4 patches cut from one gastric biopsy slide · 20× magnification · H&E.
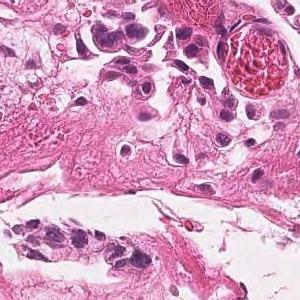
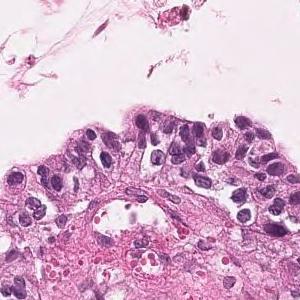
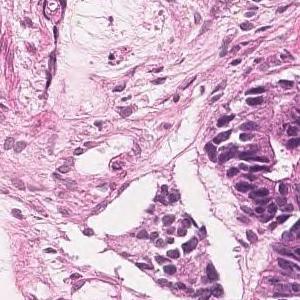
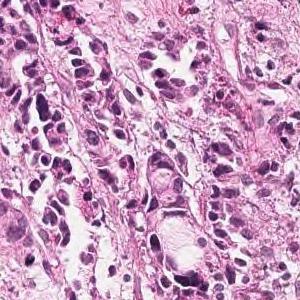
Pathology report for the biopsy slide these tiles were cut from. The report and the diagnosis describe the slide as a whole, so these tiles may not show every feature named and may include non-tumor tissue.
On the superficial epithelium, tumor tissue consisting of large, irregular glandular ducts partially fused and infiltrated is observed. Well to moderately differentiated tubular adenocarcinoma (well differentiated tubular adenocarcinoma, moderately differentiated tubular adenocarcinoma)
Subtype: Well to moderately differentiated tubular adenocarcinoma.
